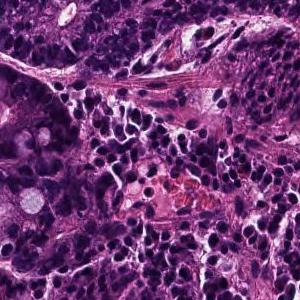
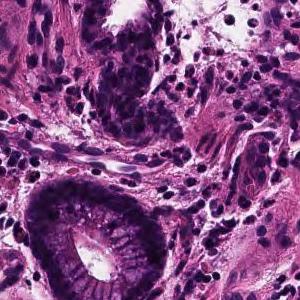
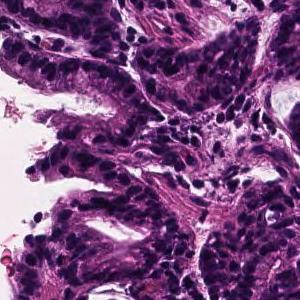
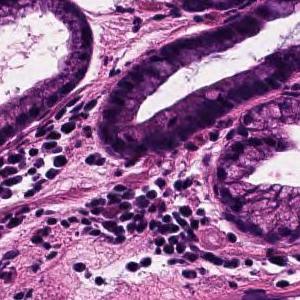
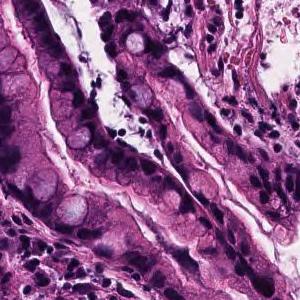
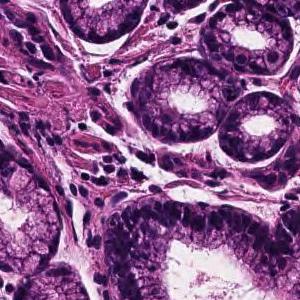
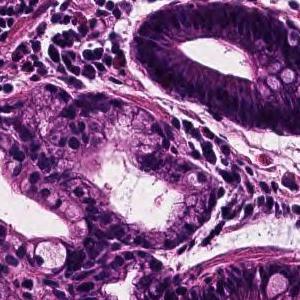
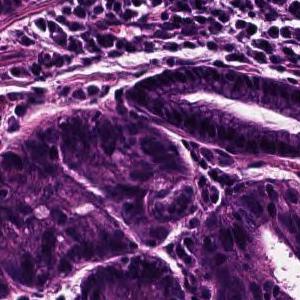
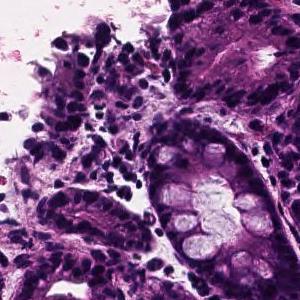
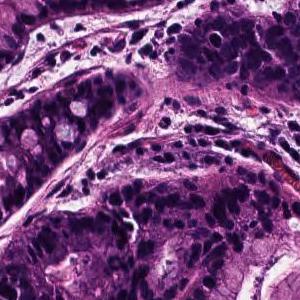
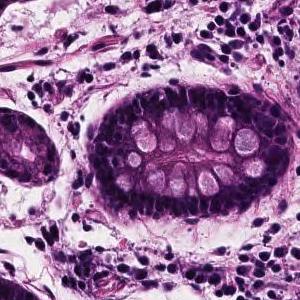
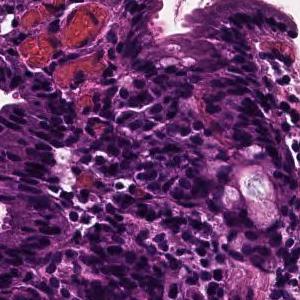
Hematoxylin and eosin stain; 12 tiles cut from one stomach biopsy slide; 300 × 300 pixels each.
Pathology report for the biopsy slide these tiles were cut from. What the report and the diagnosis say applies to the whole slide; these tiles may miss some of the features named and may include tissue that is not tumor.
In the superficial epithelium, tumor tissue infiltrated by partial fusion of medium-sized to small, irregular glandular ducts is observed. moderately differentiated tubular adenocarcinoma
